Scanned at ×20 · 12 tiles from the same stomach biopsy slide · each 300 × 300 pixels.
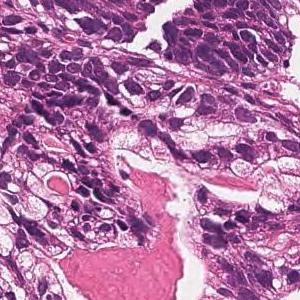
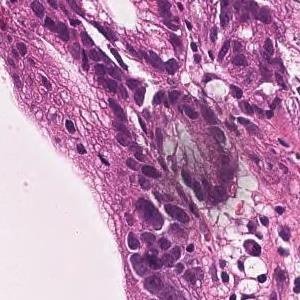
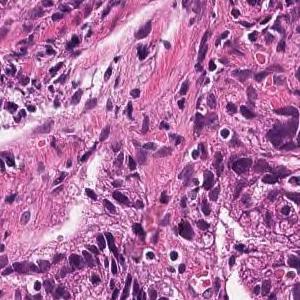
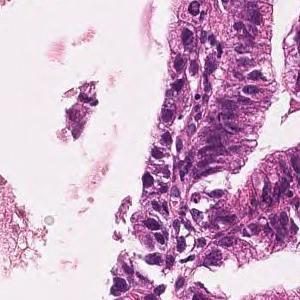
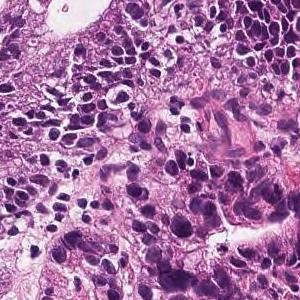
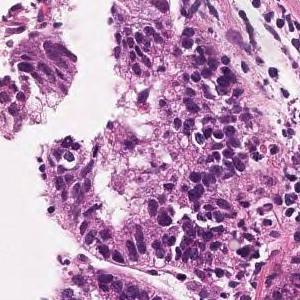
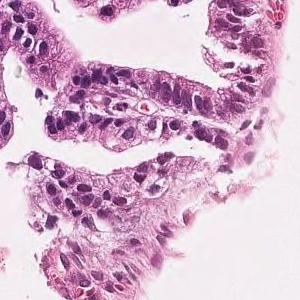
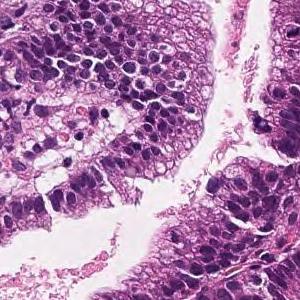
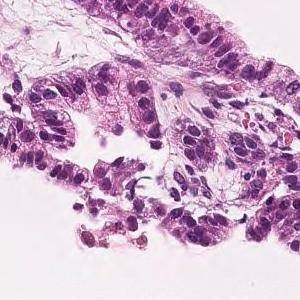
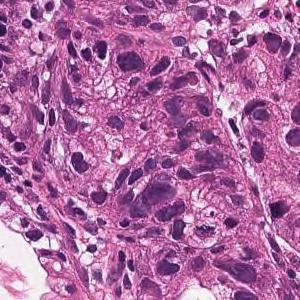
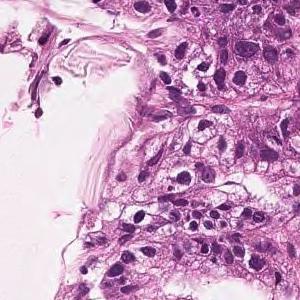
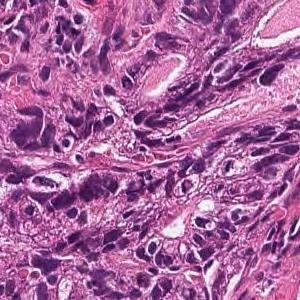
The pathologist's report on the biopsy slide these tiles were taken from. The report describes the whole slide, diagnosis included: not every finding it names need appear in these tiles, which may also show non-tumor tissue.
On the superficial epithelium, tumor tissue consisting of large, irregular glandular ducts partially fused and infiltrated is observed. Well to moderately differentiated tubular adenocarcinoma (well differentiated tubular adenocarcinoma, moderately differentiated tubular adenocarcinoma)
Subtype: Well to moderately differentiated tubular adenocarcinoma.
